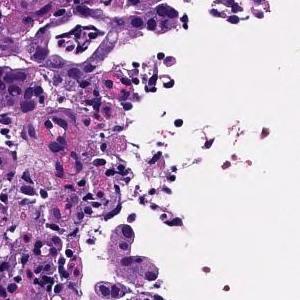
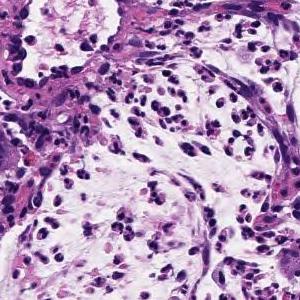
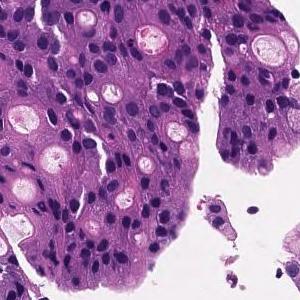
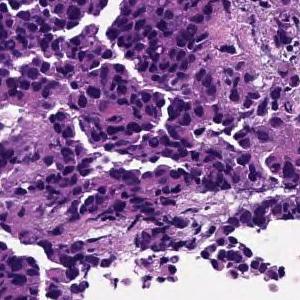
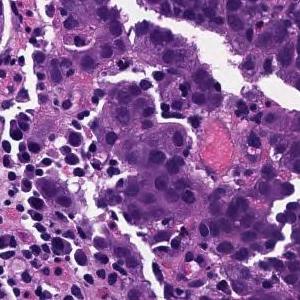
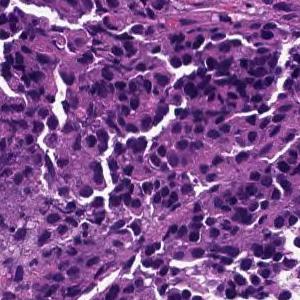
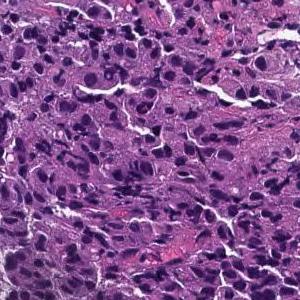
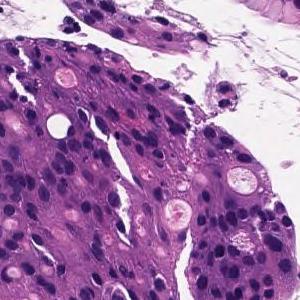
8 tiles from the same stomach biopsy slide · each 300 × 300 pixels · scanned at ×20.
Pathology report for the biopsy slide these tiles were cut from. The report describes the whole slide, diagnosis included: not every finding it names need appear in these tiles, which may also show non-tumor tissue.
The superficial epithelium shows a large sheet-like shape, and some tumor tissue infiltrates with small irregular ducts. Poorly differentiated adenocarcinoma, solid-type
Tumor subtype: poorly differentiated adenocarcinoma, solid type (Japanese Classification of Gastric Carcinoma). The WHO 2019 equivalent is tubular adenocarcinoma, poorly differentiated.
